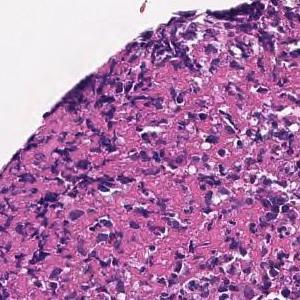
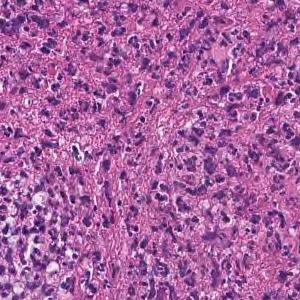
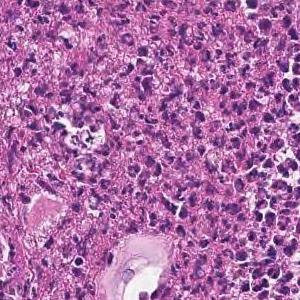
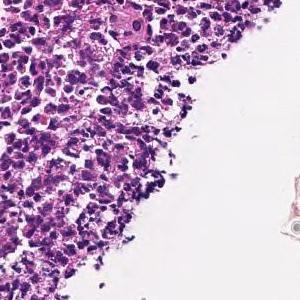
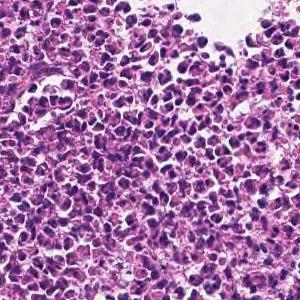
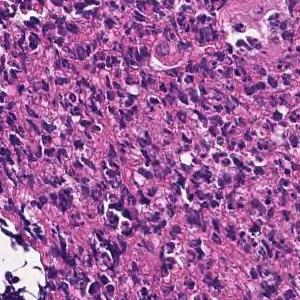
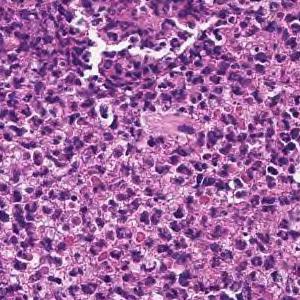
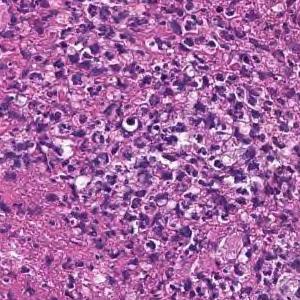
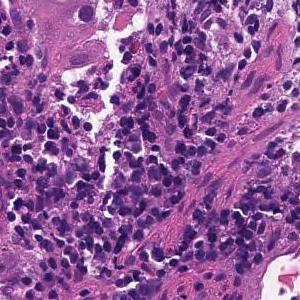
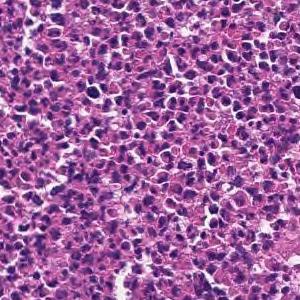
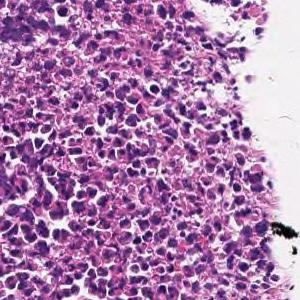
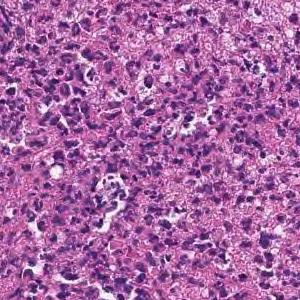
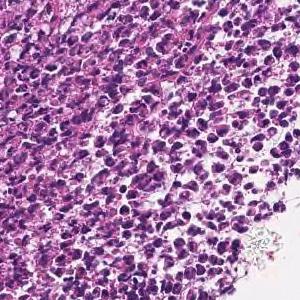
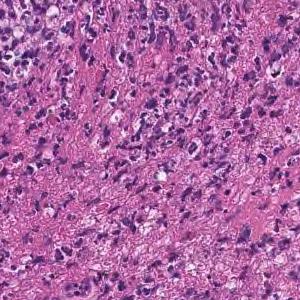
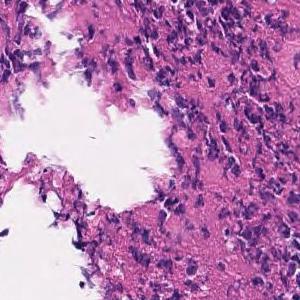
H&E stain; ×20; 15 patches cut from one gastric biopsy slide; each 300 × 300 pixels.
Diagnostic report for the slide these tiles come from. The report describes the whole slide, diagnosis included: not every finding it names need appear in these tiles, which may also show non-tumor tissue.
In the superficial epithelium, tumor tissue infiltrated by partial fusion of medium-sized to small, irregular glandular ducts is observed. moderately differentiated tubular adenocarcinoma
